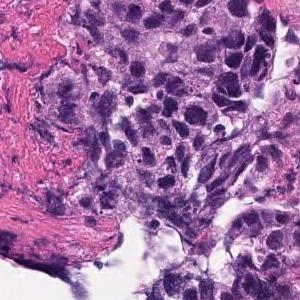
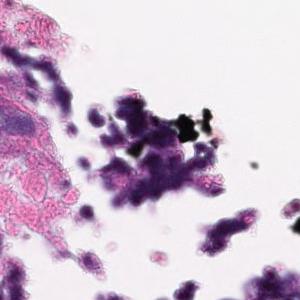
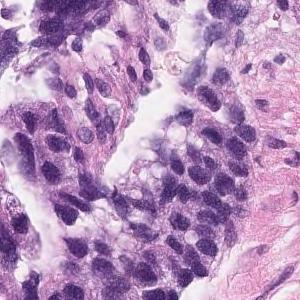
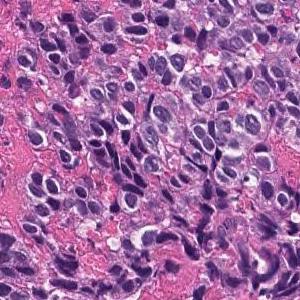
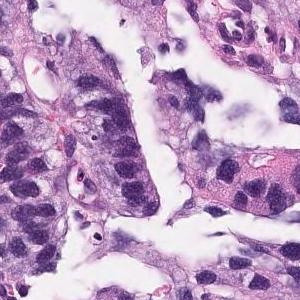
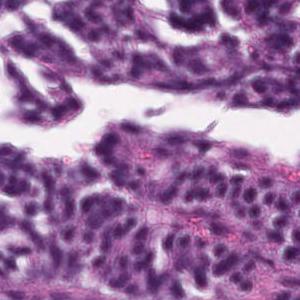
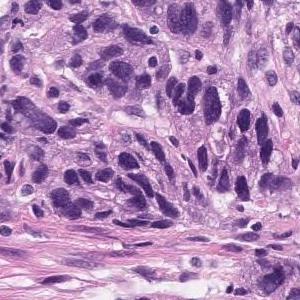
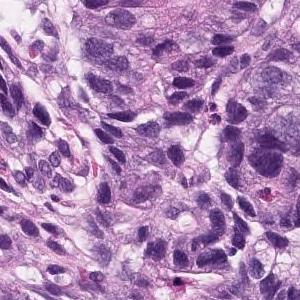
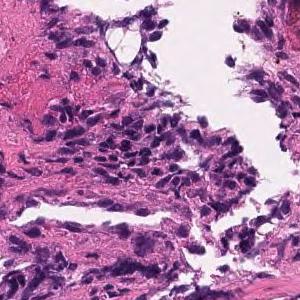
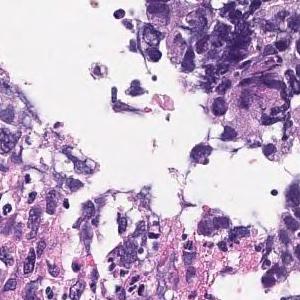
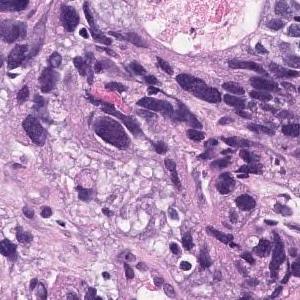
20× magnification, hematoxylin and eosin stain, 11 image tiles from a single gastric biopsy slide.
Pathology report for the slide these tiles were cut from. The report and the diagnosis cover the entire slide, so not every feature they name need be visible here, and some tissue shown may not be tumor.
Medium to small, irregular glandular ducts are formed in the superficial epithelium, and in some cases, the glandular ducts are fused to show solid alveolar lesions and infiltrating tumor tissue is observed. Moderately to poorly differentiated adenocarcinoma.
